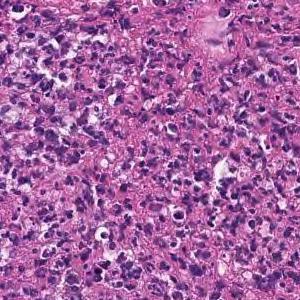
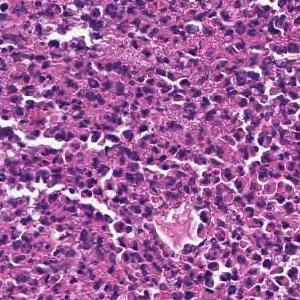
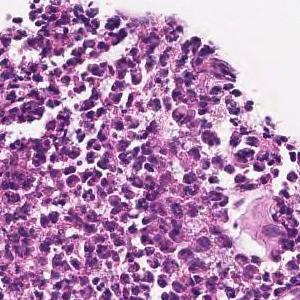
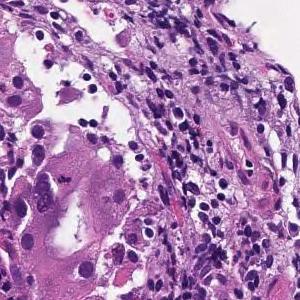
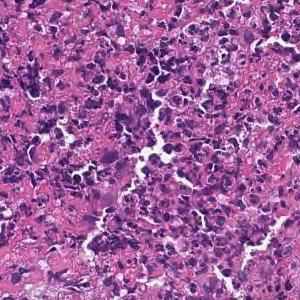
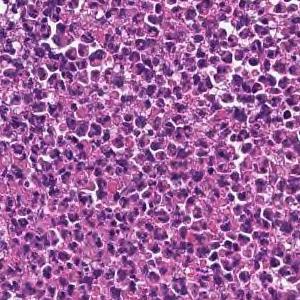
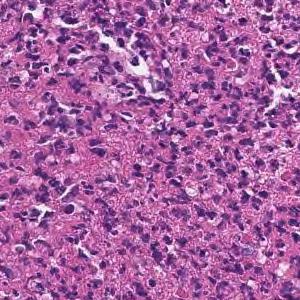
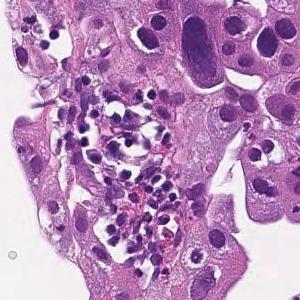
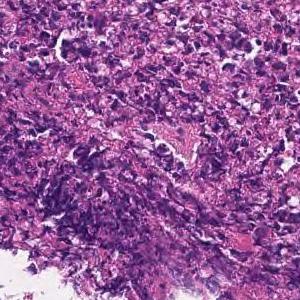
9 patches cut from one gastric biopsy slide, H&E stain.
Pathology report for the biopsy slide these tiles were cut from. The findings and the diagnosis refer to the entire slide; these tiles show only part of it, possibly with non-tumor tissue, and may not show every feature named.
In the superficial epithelium, tumor tissue infiltrated by partial fusion of medium-sized to small, irregular glandular ducts is observed. moderately differentiated tubular adenocarcinoma
